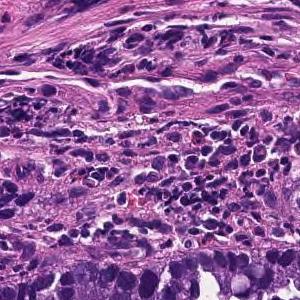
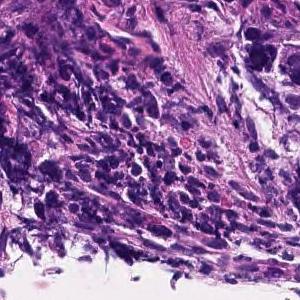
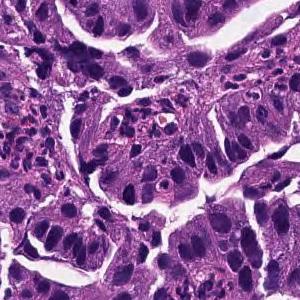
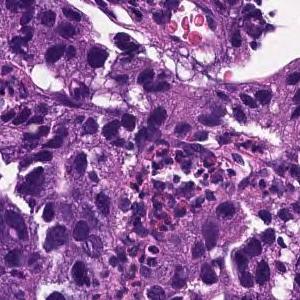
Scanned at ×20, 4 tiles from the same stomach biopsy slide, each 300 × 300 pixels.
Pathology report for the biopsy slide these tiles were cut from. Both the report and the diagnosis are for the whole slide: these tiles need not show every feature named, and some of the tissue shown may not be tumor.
Tumor tissue consisting of large papillary structures is found in the superficial epithelium. Papillary adenocarcinoma.
